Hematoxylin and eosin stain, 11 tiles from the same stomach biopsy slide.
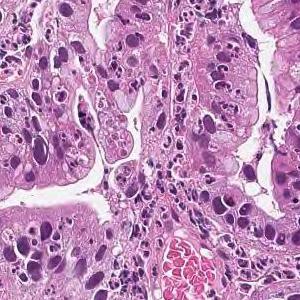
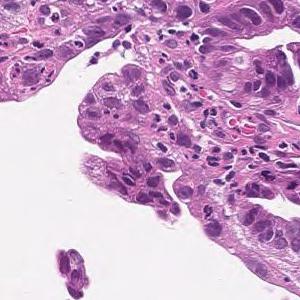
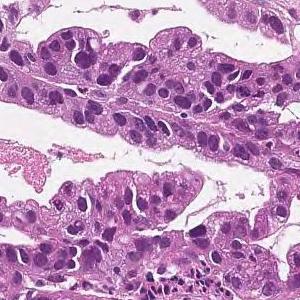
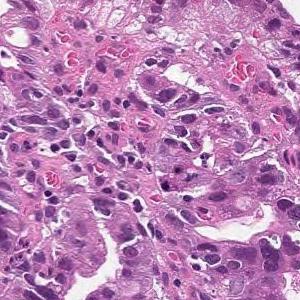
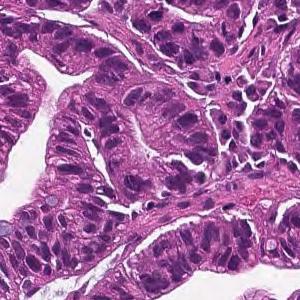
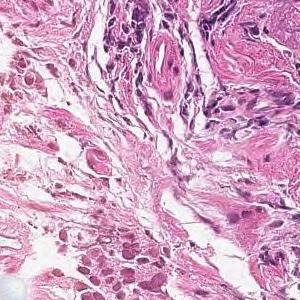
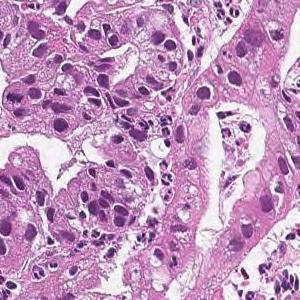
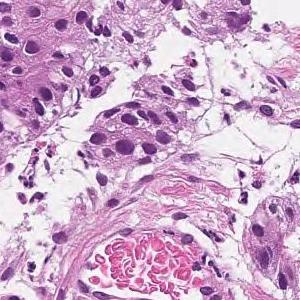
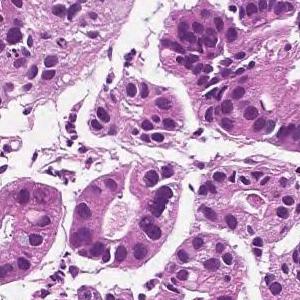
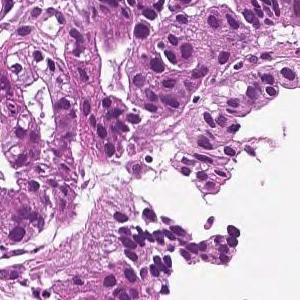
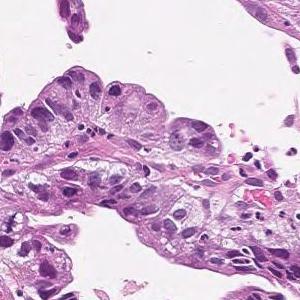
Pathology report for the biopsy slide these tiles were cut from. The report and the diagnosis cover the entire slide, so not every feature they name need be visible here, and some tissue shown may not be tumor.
On the superficial epithelium, tumor tissue that infiltrates by forming medium-sized papillary or small irregular ducts is observed. Papillary adenocarcinoma
